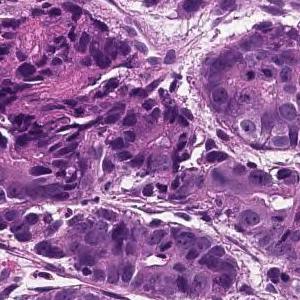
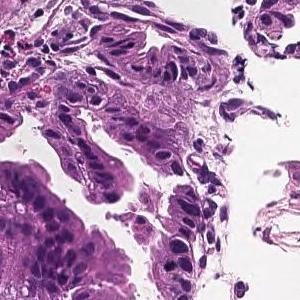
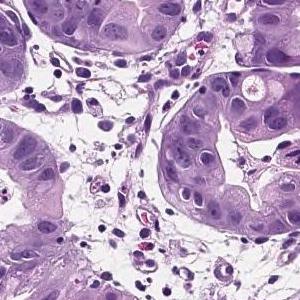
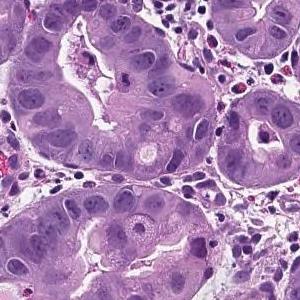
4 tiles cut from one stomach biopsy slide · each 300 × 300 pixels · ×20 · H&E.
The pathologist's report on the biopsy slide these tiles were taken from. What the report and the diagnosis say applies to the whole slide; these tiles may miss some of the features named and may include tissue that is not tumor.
On the superficial epithelium, tumor tissue that infiltrates by forming medium-sized papillary or small irregular ducts is observed. Papillary adenocarcinoma
